H&E stain, 12 tiles from the same stomach biopsy slide.
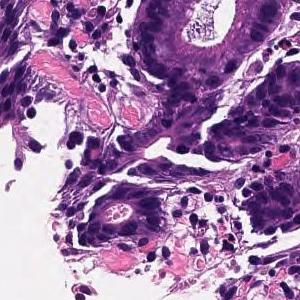
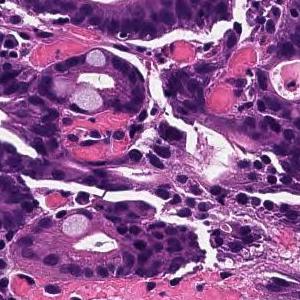
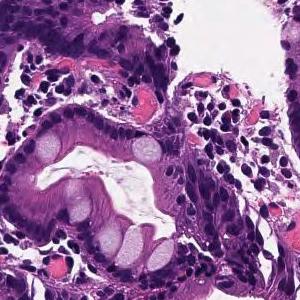
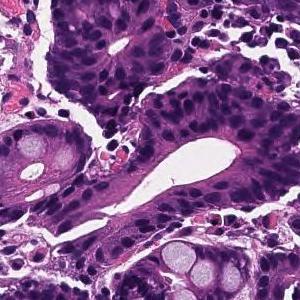
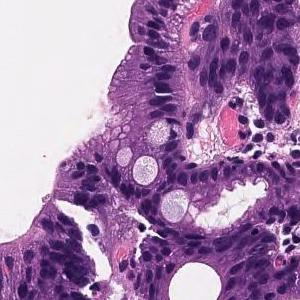
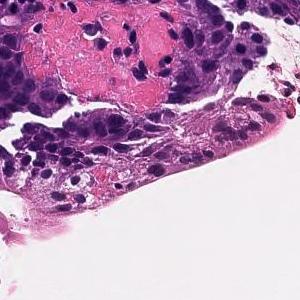
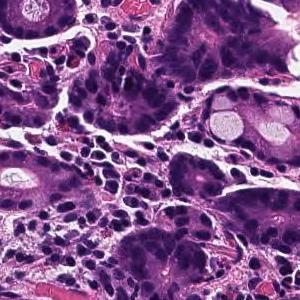
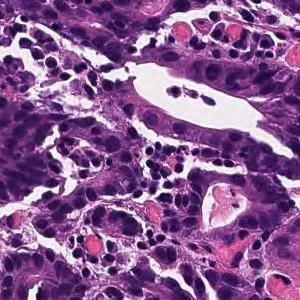
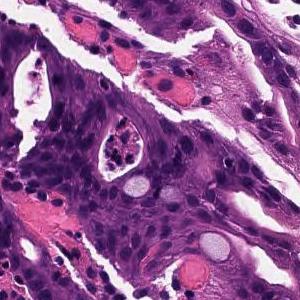
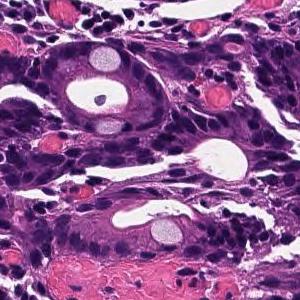
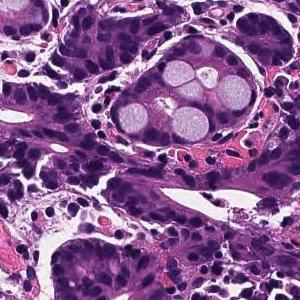
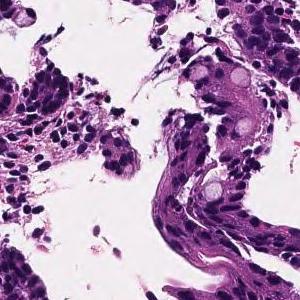
The pathologist's report on the biopsy slide these tiles were taken from. The findings and the diagnosis refer to the entire slide; these tiles show only part of it, possibly with non-tumor tissue, and may not show every feature named.
In the superficial epithelium, tumor tissue that invades by forming medium-sized to small, irregular ducts is observed. moderately differentiated tubular adenocarcinoma.
